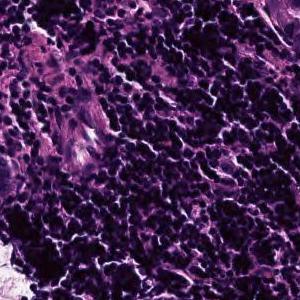
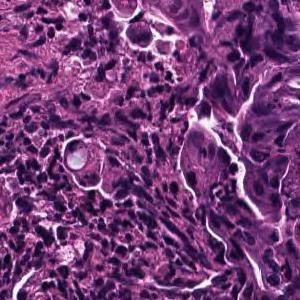
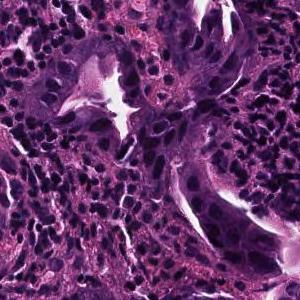
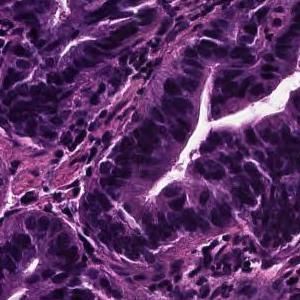
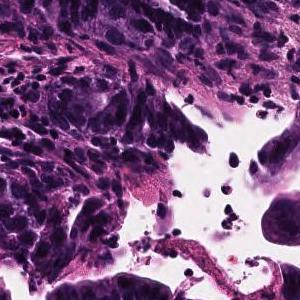
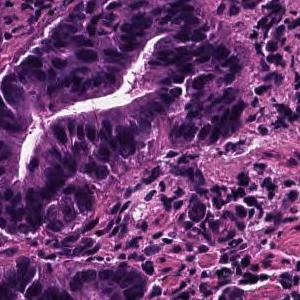
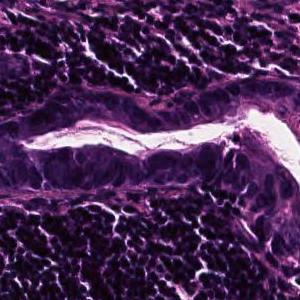
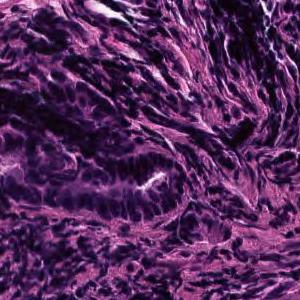
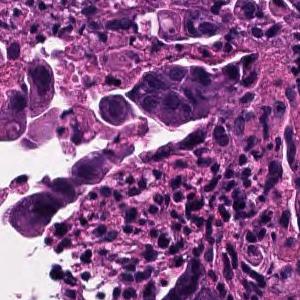
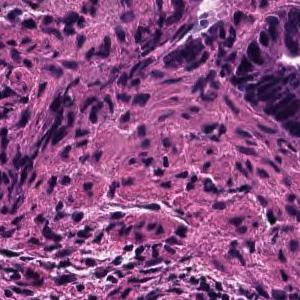
H&E, 20× magnification, 10 tiles cut from one stomach biopsy slide, each 300 × 300 pixels.
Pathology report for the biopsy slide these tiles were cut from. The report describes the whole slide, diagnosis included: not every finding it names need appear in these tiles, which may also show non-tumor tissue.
On the superficial epithelium, tumor tissue consisting of large, irregular glandular ducts partially fused and infiltrated is observed. Well to moderately differentiated tubular adenocarcinoma (well differentiated tubular adenocarcinoma, moderately differentiated tubular adenocarcinoma)
Classified as well to moderately differentiated tubular adenocarcinoma.
